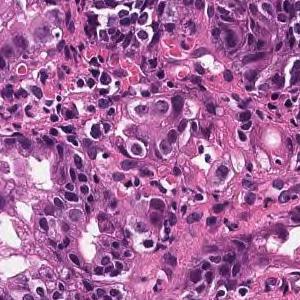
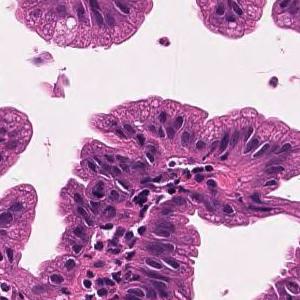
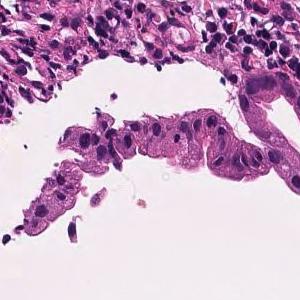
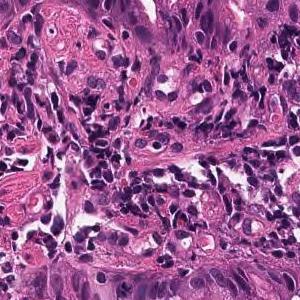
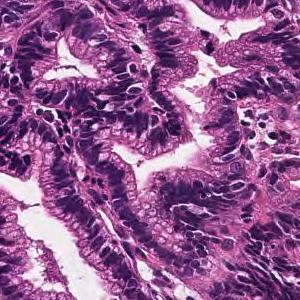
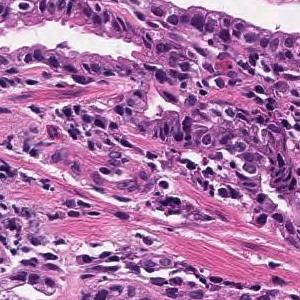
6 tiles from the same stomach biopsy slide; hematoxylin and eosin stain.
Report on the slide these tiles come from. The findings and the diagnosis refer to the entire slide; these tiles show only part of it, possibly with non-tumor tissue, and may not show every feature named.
Tumor tissue in which medium to small irregular ducts infiltrate and proliferate in the submucosa can be seen in the epithelium. Well differentiated tubular adenocarcinoma
